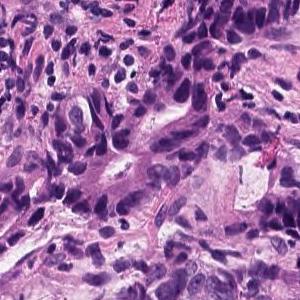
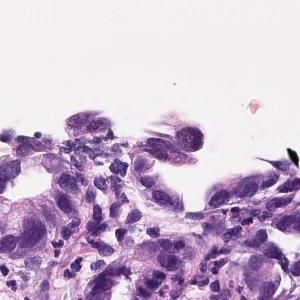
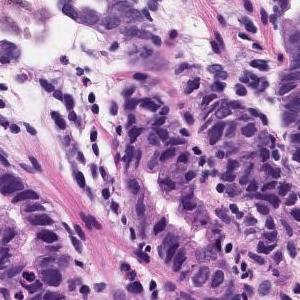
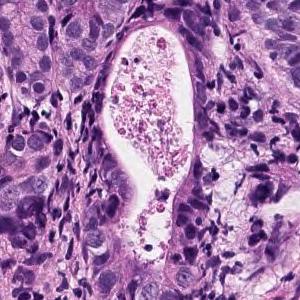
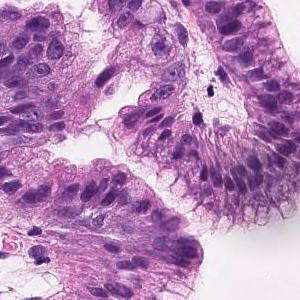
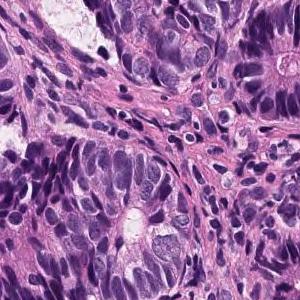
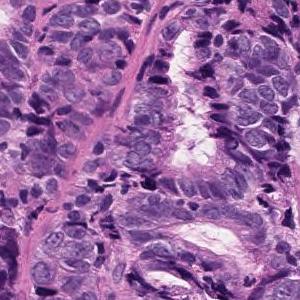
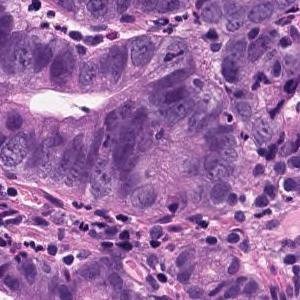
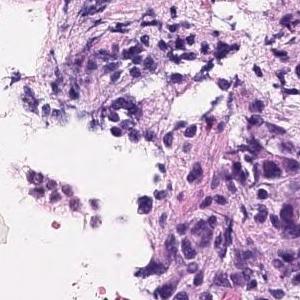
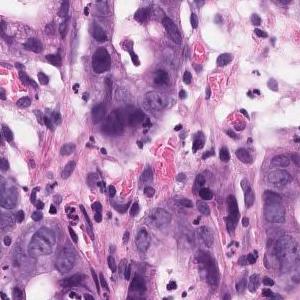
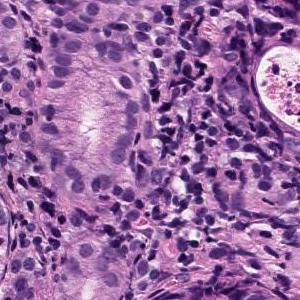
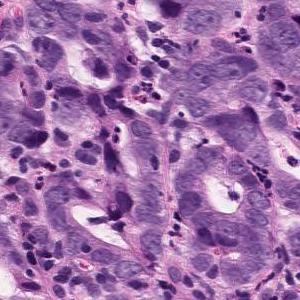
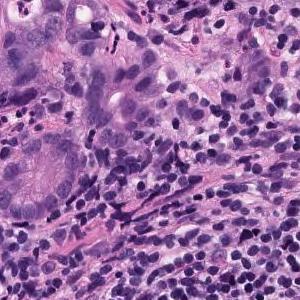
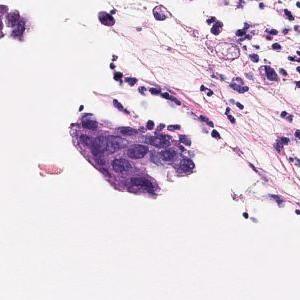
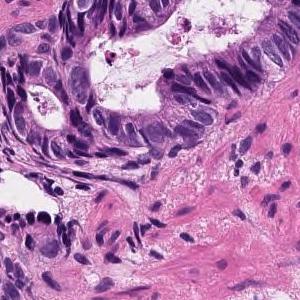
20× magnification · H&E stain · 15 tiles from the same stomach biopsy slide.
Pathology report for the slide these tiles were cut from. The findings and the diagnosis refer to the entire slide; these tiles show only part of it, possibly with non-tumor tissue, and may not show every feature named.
The swollen atypical epithelium of the nucleus forms an irregular ductal structure and proliferates. moderately differentiated tubular adenocarcinoma
